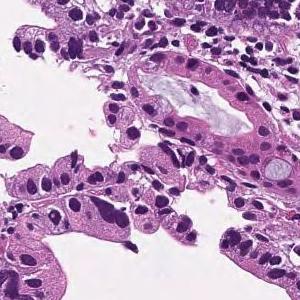
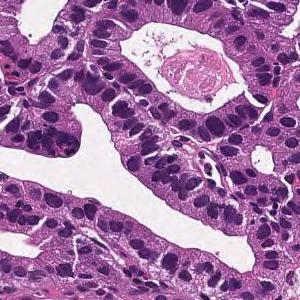
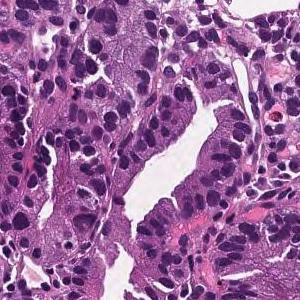
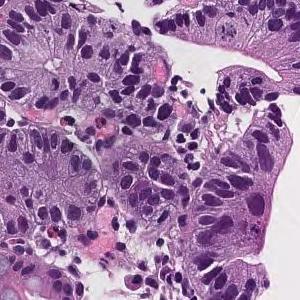
4 tiles cut from one stomach biopsy slide; hematoxylin and eosin stain.
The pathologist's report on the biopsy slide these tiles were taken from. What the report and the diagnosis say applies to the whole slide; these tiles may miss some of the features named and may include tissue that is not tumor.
From the superficial epithelium to the muscularis mucosae, tumor tissue consisting of medium-sized and irregular glandular ducts infiltrating is observed. Well differentiated tubular adenocarcinoma
